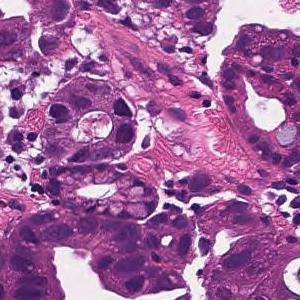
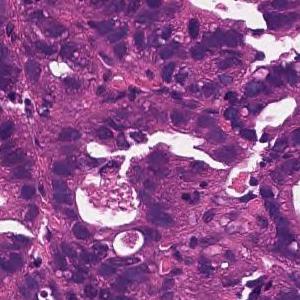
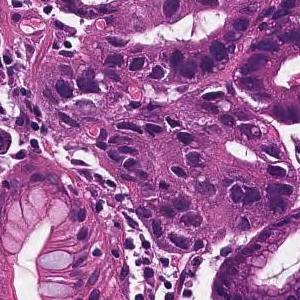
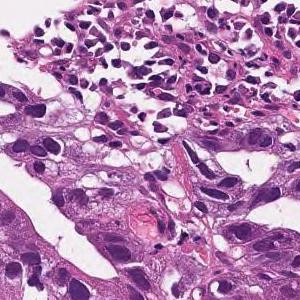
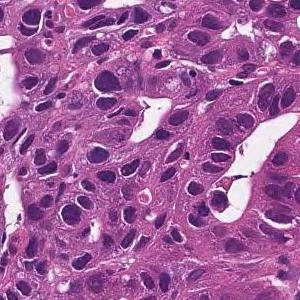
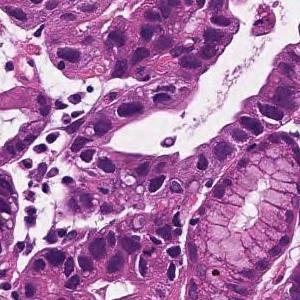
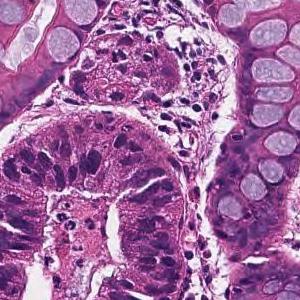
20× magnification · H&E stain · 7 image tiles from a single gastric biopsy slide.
Pathology report for the biopsy slide these tiles were cut from. What the report and the diagnosis say applies to the whole slide; these tiles may miss some of the features named and may include tissue that is not tumor.
In the superficial epithelium, tumor tissue that invades by forming medium-sized to small, irregular ducts is observed. moderately differentiated tubular adenocarcinoma.
